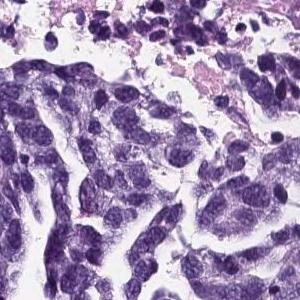
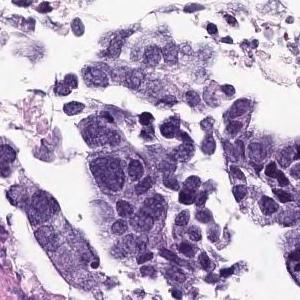
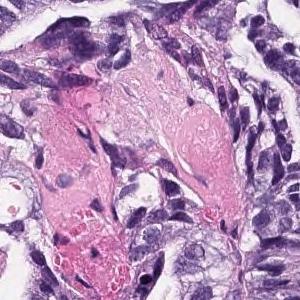
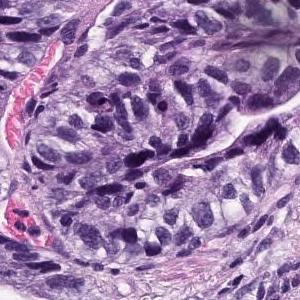
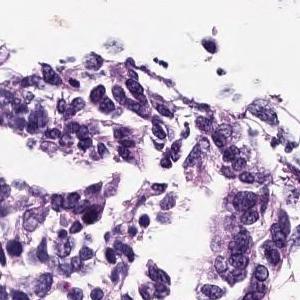
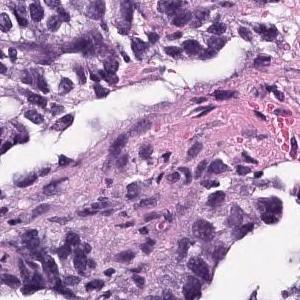
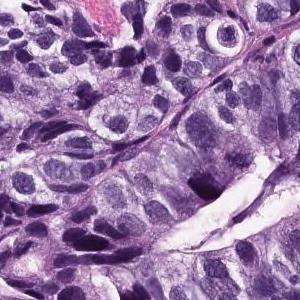
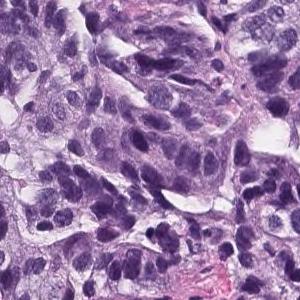
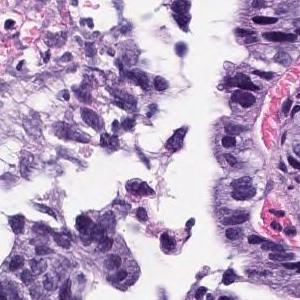
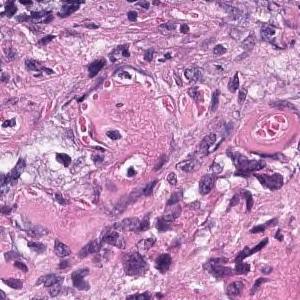
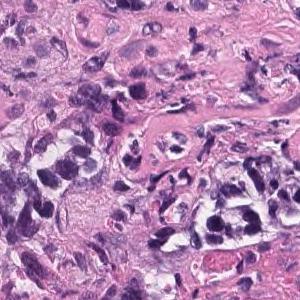
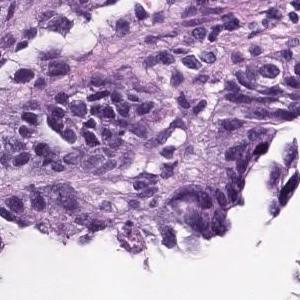
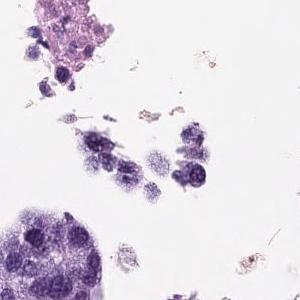
13 tiles from the same stomach biopsy slide · each 300 × 300 pixels · scanned at ×20.
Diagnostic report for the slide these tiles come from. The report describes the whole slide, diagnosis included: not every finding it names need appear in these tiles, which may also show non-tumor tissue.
The superficial epithelium shows a large sheet-like shape, and some tumor tissue infiltrates with small irregular ducts. Poorly differentiated adenocarcinoma, solid-type
Classified as poorly differentiated adenocarcinoma, solid type. This name comes from the Japanese Classification of Gastric Carcinoma; the WHO 2019 classification calls it tubular adenocarcinoma, poorly differentiated.
